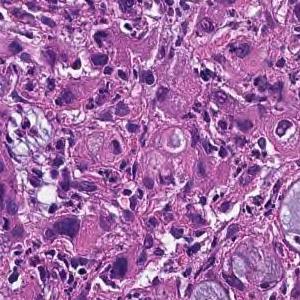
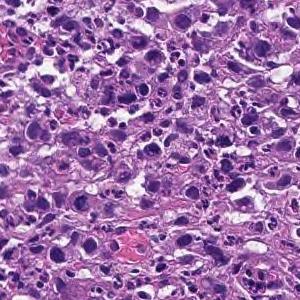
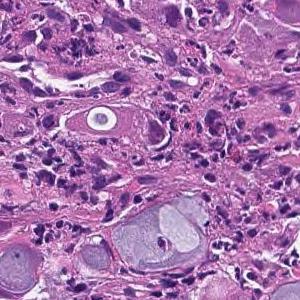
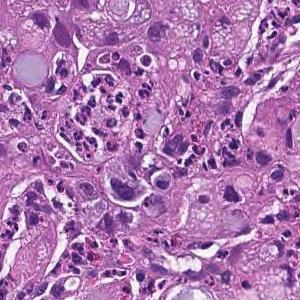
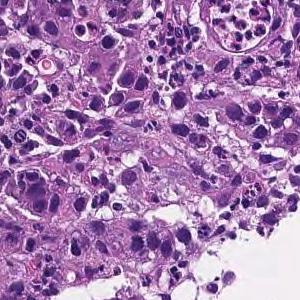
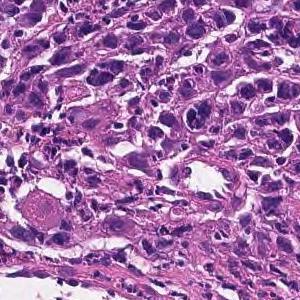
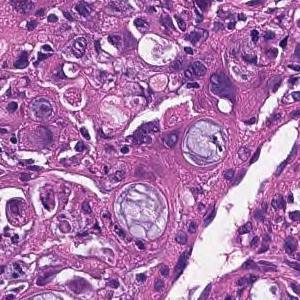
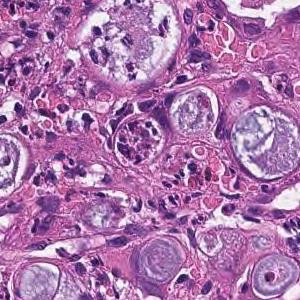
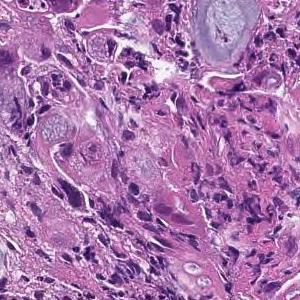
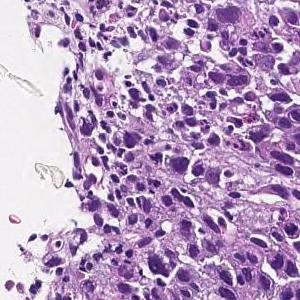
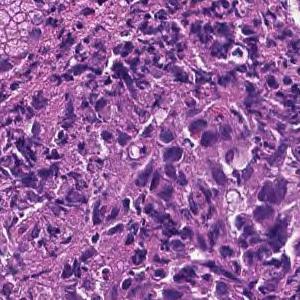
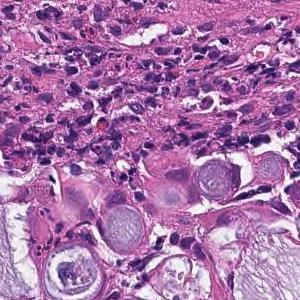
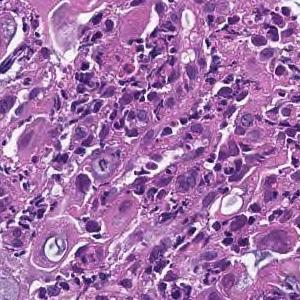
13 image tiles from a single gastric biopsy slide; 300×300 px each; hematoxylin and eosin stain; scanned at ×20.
Report on the slide these tiles come from. What the report and the diagnosis say applies to the whole slide; these tiles may miss some of the features named and may include tissue that is not tumor.
The superficial epithelium shows a large sheet-like shape, and some tumor tissue infiltrates with small irregular ducts. Poorly differentiated adenocarcinoma, solid-type
Histological subtype: Poorly differentiated adenocarcinoma, solid type. This name comes from the Japanese Classification of Gastric Carcinoma; the WHO 2019 classification calls it tubular adenocarcinoma, poorly differentiated.
